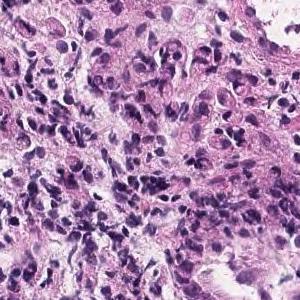
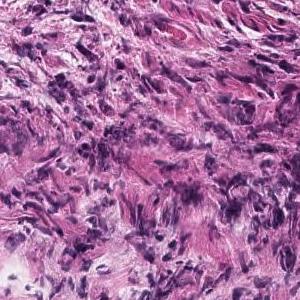
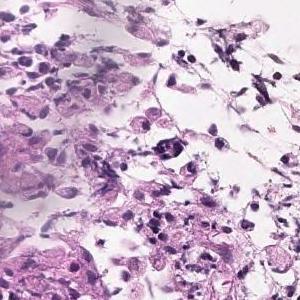
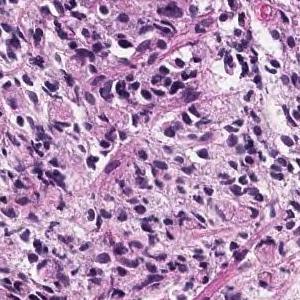
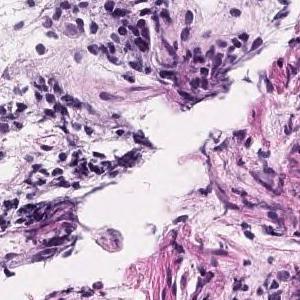
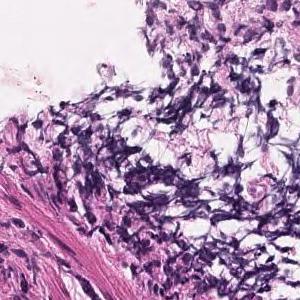
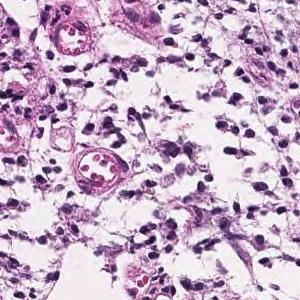
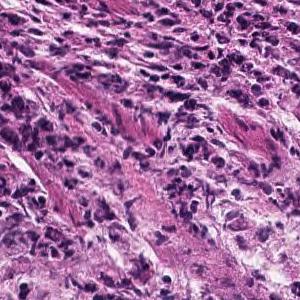
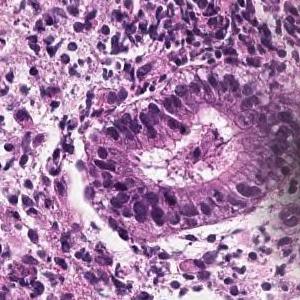
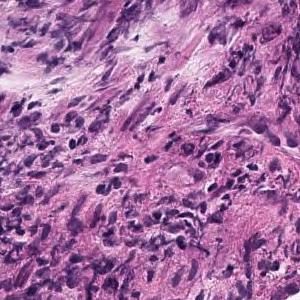
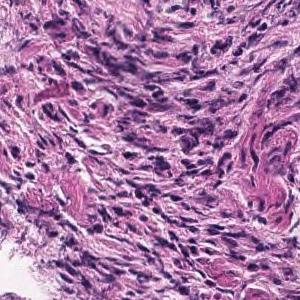
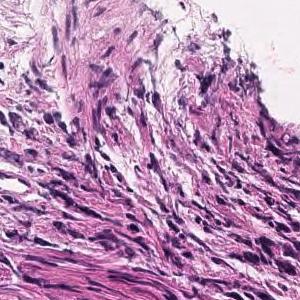
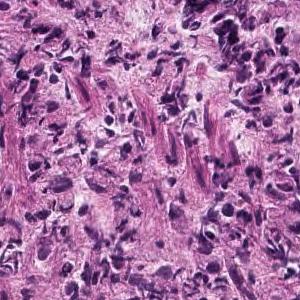
13 tiles from the same stomach biopsy slide; ×20.
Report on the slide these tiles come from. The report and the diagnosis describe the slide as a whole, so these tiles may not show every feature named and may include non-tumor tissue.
In the lamina propria, a tumor tissue consisting of signet ring cell type atypical epithelial cells infiltrating is observed. Signet ring cell carcinoma.
